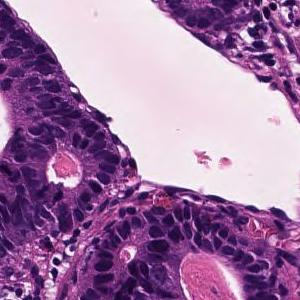
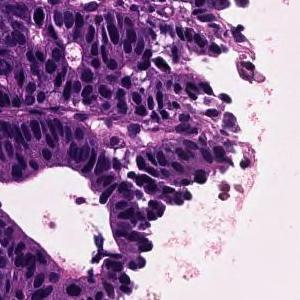
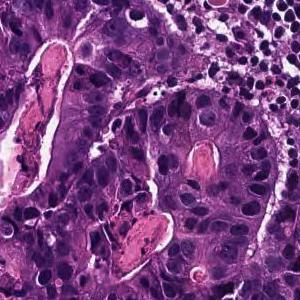
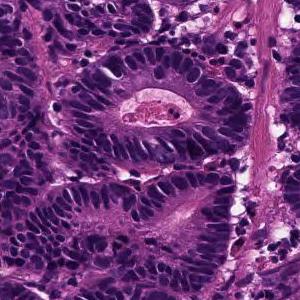
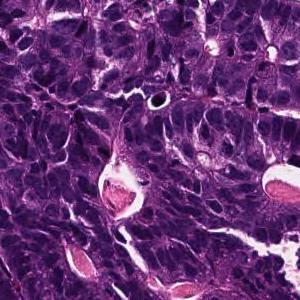
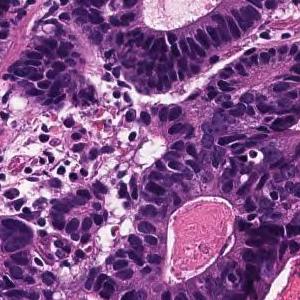
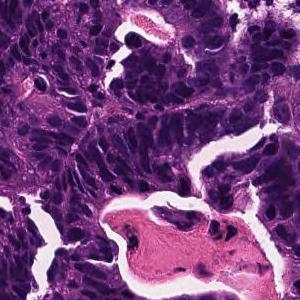
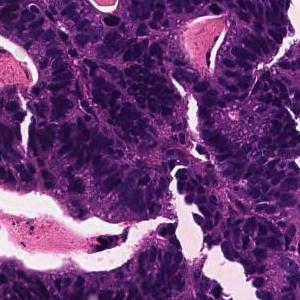
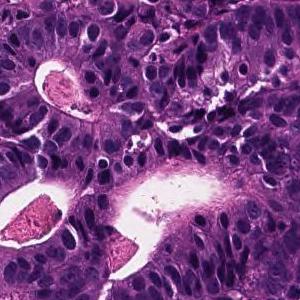
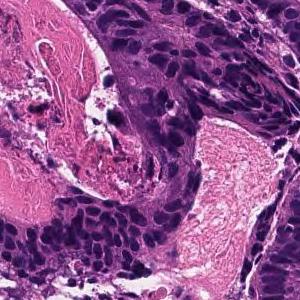
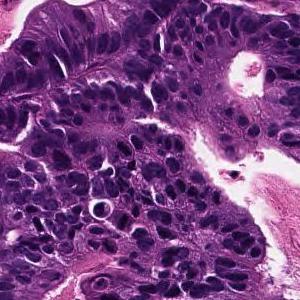
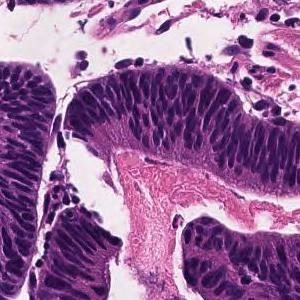
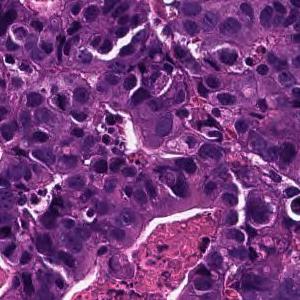
H&E; scanned at ×20; 13 tiles from the same stomach biopsy slide.
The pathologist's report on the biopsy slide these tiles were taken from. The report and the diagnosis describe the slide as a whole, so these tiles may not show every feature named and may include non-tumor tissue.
In the superficial epithelium, tumor tissue that invades by forming medium-sized to small, irregular ducts is observed. moderately differentiated tubular adenocarcinoma.
